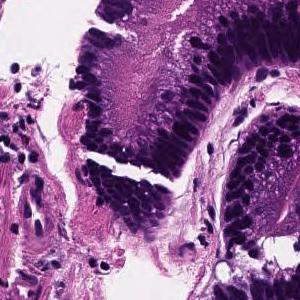
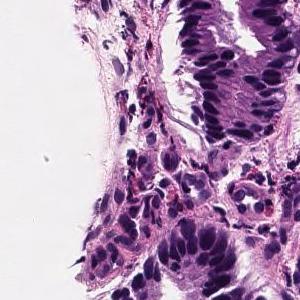
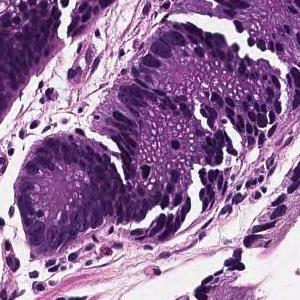
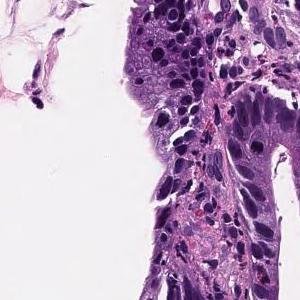
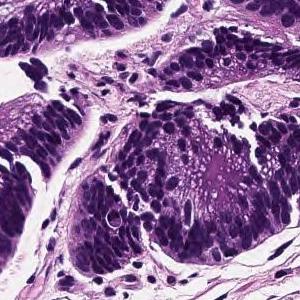
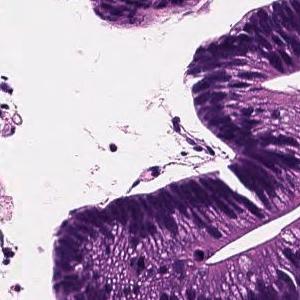
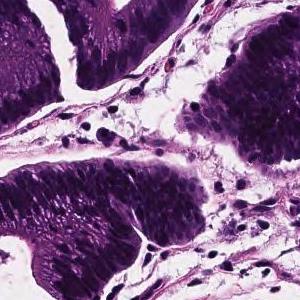
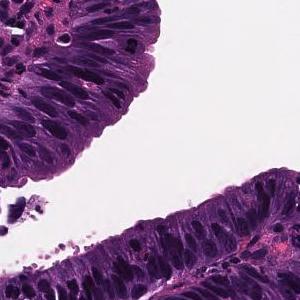
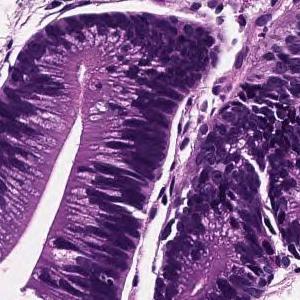
H&E · 9 tiles from the same stomach biopsy slide.
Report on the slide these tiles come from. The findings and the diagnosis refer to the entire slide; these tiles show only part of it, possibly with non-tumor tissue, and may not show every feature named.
Tumor cells are large, highly columnar, large club-shaped nuclei, and are associated with chromatin aggregation. Papillary adenocarcinoma.
